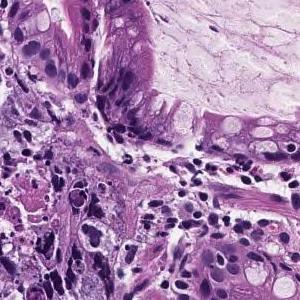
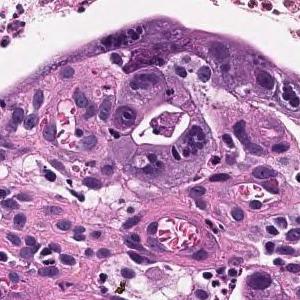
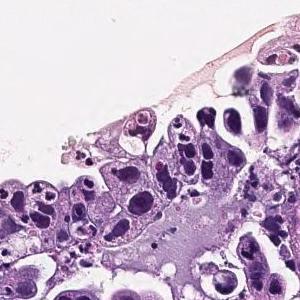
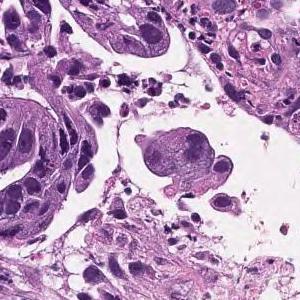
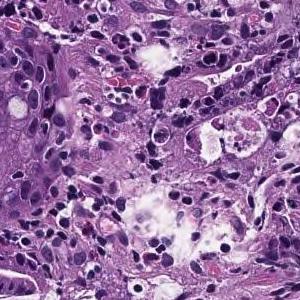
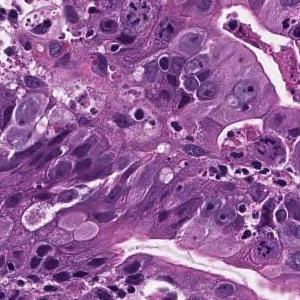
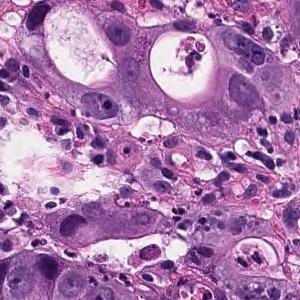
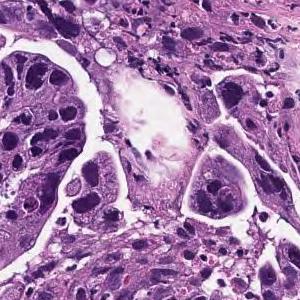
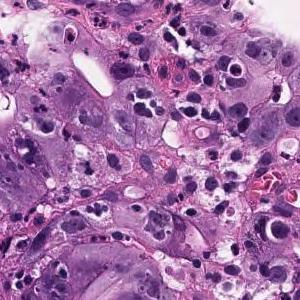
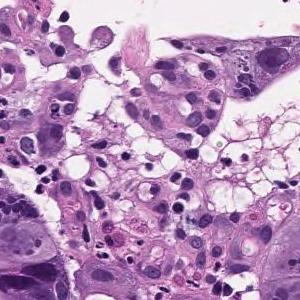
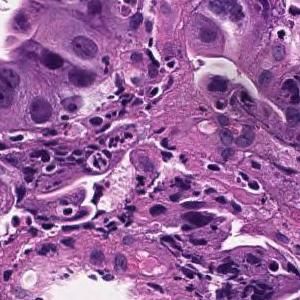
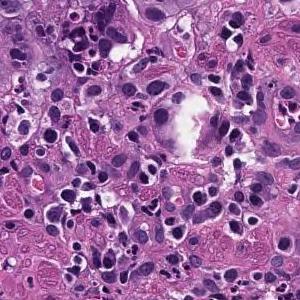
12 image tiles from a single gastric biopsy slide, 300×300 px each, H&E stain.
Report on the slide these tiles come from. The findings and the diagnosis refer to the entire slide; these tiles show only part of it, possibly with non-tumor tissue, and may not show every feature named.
In the superficial epithelium, medium to small irregular gland ducts are formed, and in some cases, the ducts are fused to show solid alveolar lesions and infiltrating tumor tissue is observed. Moderately to poorly differentiated adenocarcinoma
